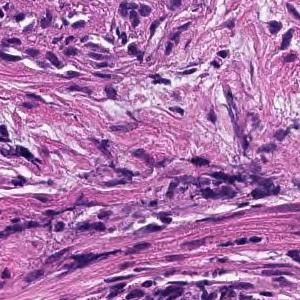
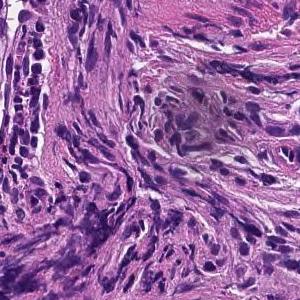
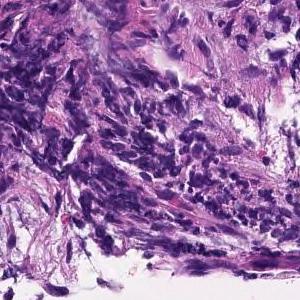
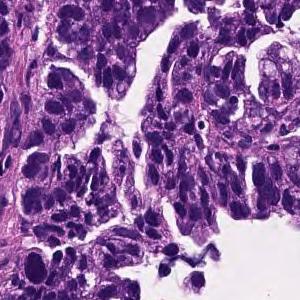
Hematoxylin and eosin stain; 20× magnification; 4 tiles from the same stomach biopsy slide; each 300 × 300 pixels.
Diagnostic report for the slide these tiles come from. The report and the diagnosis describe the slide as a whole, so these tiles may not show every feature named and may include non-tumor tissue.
Tumor tissue consisting of large papillary structures is found in the superficial epithelium. Papillary adenocarcinoma.
